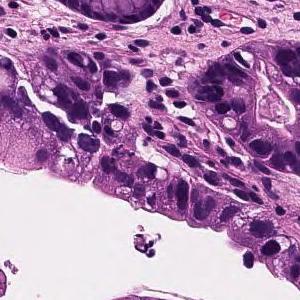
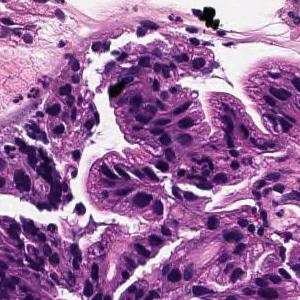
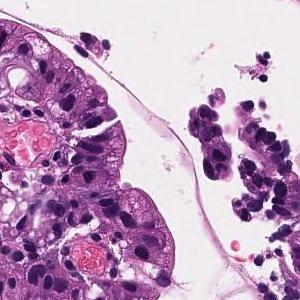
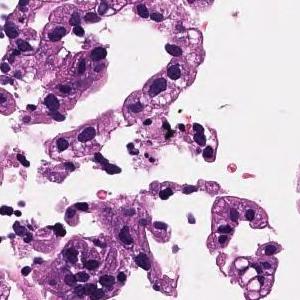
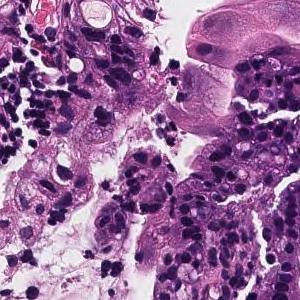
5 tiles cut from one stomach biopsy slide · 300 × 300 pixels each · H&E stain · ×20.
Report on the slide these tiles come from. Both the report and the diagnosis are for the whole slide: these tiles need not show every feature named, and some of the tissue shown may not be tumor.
On the superficial epithelium, tumor tissue that infiltrates by forming medium-sized papillary or small irregular ducts is observed. Papillary adenocarcinoma
